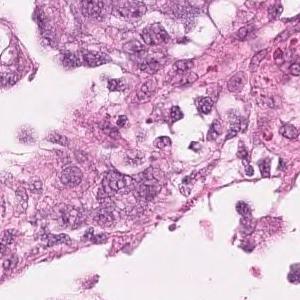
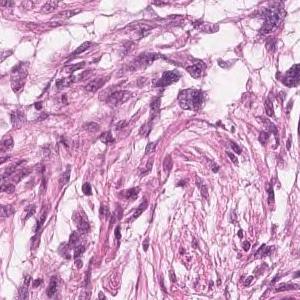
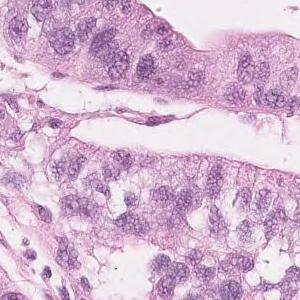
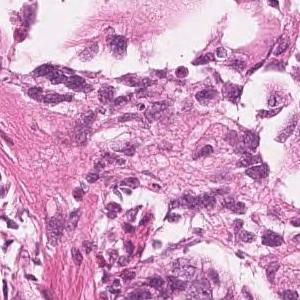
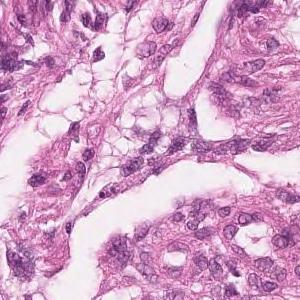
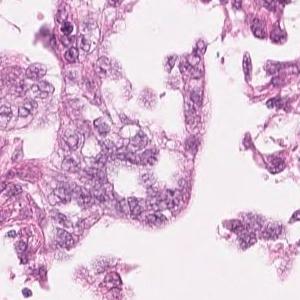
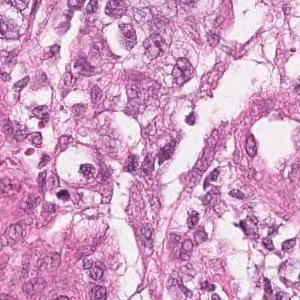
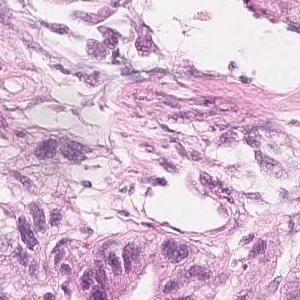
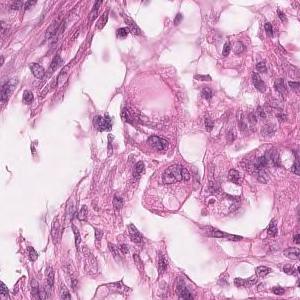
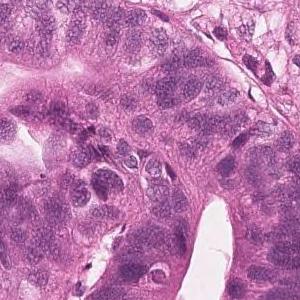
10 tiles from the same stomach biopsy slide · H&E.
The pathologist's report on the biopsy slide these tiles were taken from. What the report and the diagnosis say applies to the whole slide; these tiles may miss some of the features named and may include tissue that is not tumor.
Highly columnar epithelium with disordered nuclear localization proliferates showing fusion ductal construction. moderately differentiated tubular adenocarcinoma
